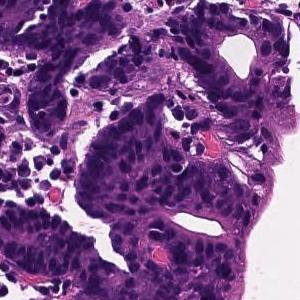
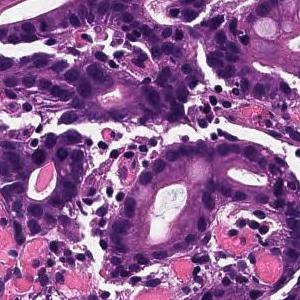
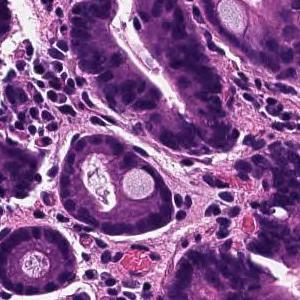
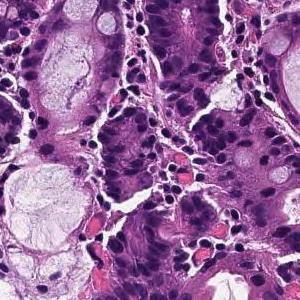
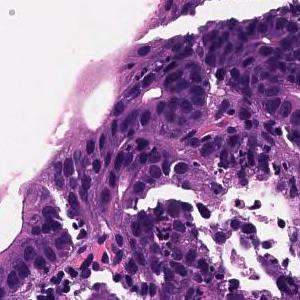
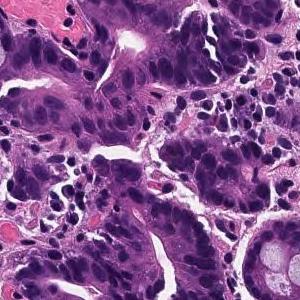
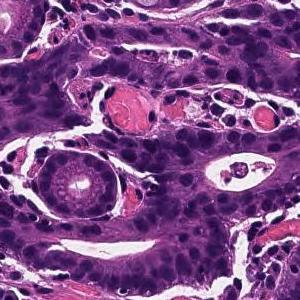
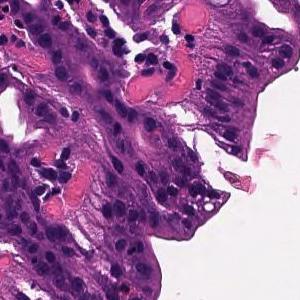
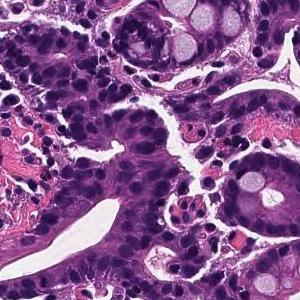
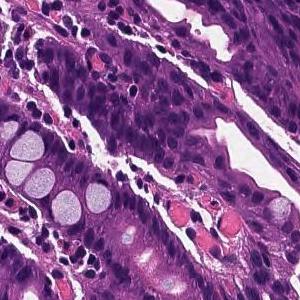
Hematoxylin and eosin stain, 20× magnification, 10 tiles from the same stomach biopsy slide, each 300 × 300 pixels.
Pathology report for the biopsy slide these tiles were cut from. The report describes the whole slide, diagnosis included: not every finding it names need appear in these tiles, which may also show non-tumor tissue.
In the superficial epithelium, tumor tissue that invades by forming medium-sized to small, irregular ducts is observed. moderately differentiated tubular adenocarcinoma.
